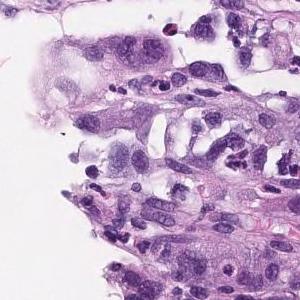
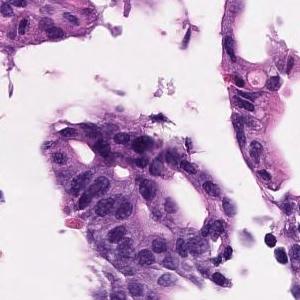
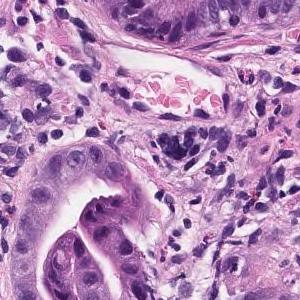
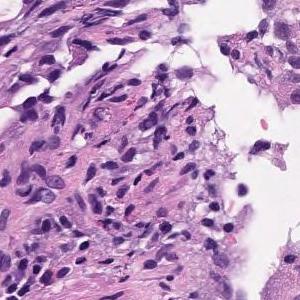
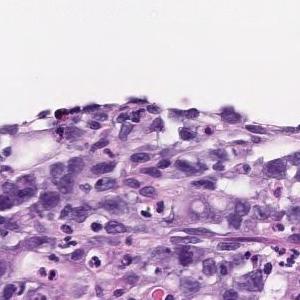
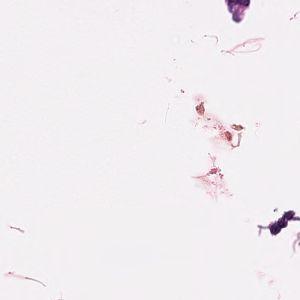
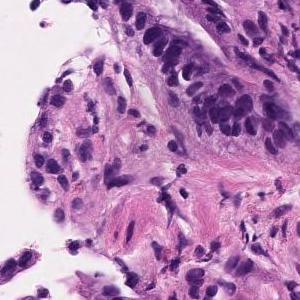
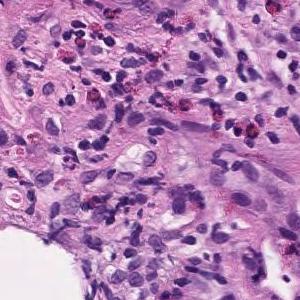
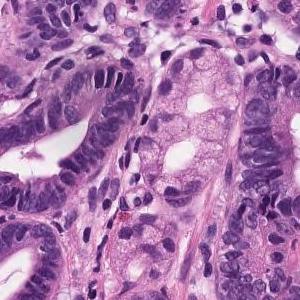
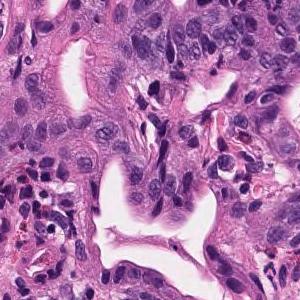
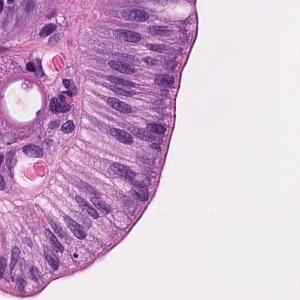
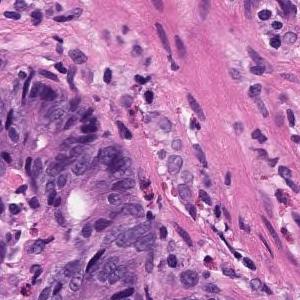
H&E · ×20 · 12 tiles from the same stomach biopsy slide · 300 × 300 pixels each.
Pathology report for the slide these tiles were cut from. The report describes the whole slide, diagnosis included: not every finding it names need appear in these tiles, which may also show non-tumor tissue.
moderately differentiated tubular adenocarcinoma, Poorly differentiated adenocarcinoma
Dataset label: poorly differentiated adenocarcinoma, solid type (Japanese Classification of Gastric Carcinoma). The WHO 2019 equivalent is tubular adenocarcinoma, poorly differentiated.
